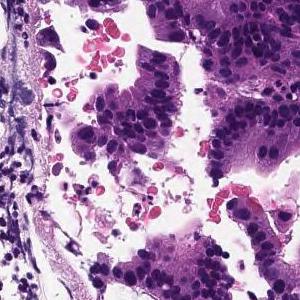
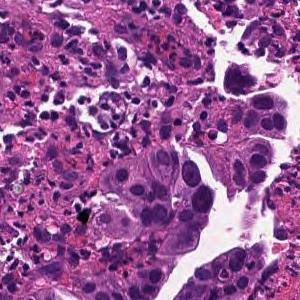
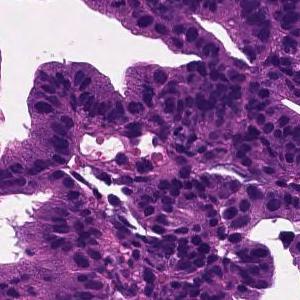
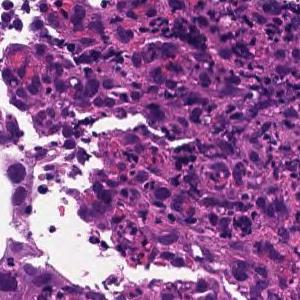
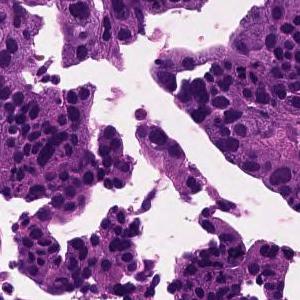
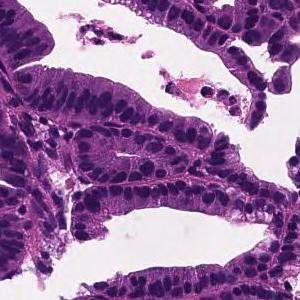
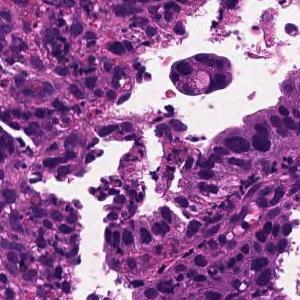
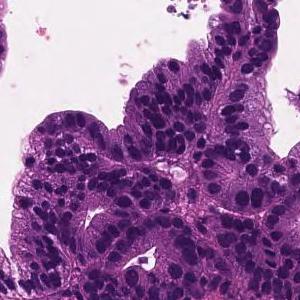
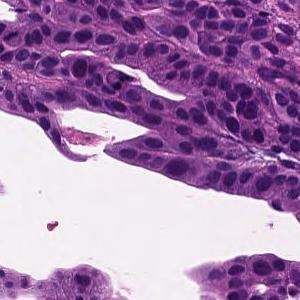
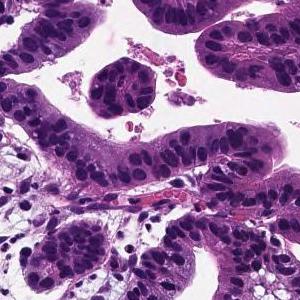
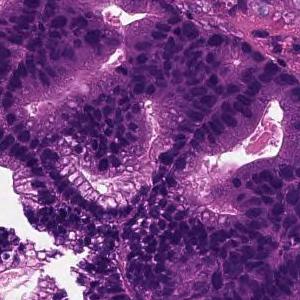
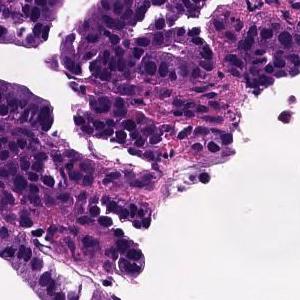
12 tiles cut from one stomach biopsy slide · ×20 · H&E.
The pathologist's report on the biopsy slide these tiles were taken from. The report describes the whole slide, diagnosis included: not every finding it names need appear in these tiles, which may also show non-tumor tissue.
Tumor cells are large, highly columnar, large club-shaped nuclei, and are associated with chromatin aggregation. Papillary adenocarcinoma.
